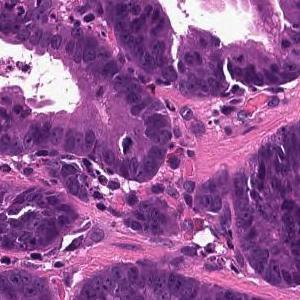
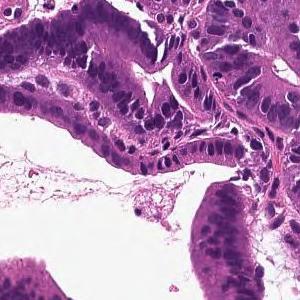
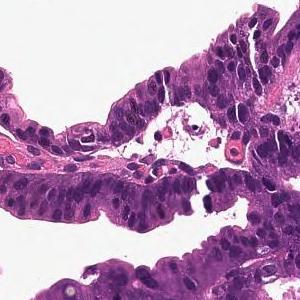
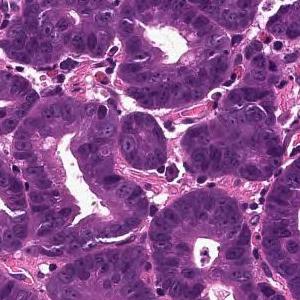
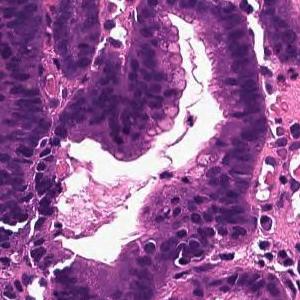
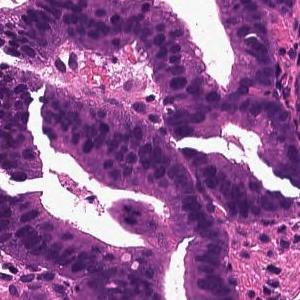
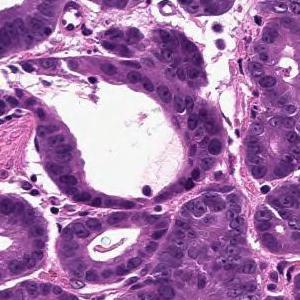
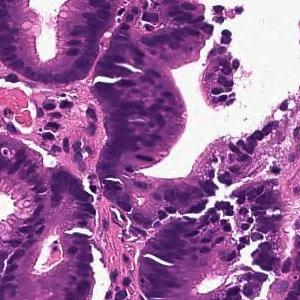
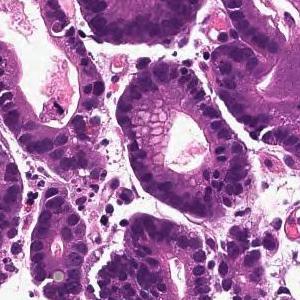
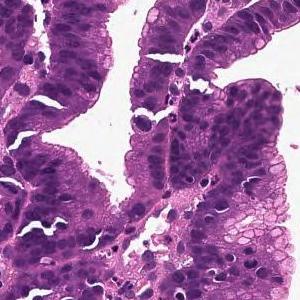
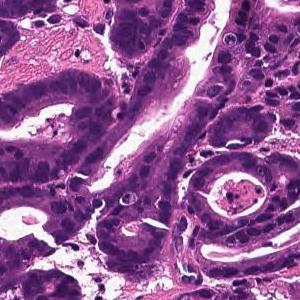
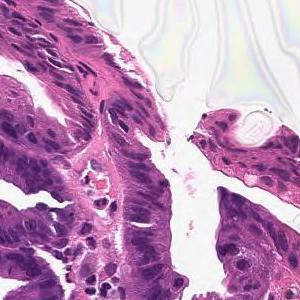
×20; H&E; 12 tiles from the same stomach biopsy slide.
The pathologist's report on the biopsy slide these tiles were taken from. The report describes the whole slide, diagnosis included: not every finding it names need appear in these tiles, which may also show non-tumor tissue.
From the superficial epithelium to the muscularis mucosae, tumor tissue consisting of medium-sized and irregular glandular ducts infiltrating is observed. Well differentiated tubular adenocarcinoma
